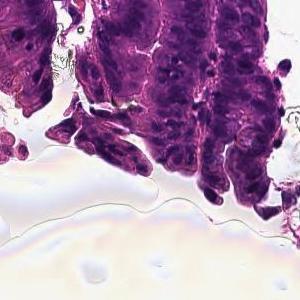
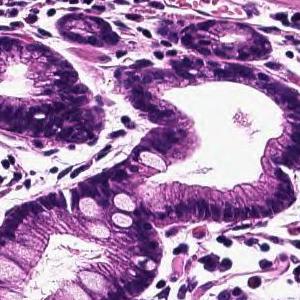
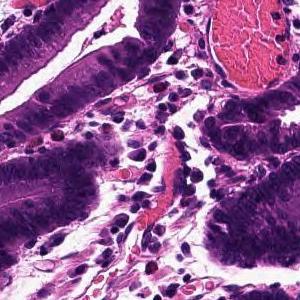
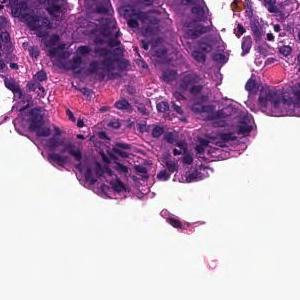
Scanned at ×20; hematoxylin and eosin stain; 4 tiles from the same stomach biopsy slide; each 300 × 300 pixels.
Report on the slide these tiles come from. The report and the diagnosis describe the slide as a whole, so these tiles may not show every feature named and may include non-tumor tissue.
Tumor tissue that infiltrates by forming large papillary or large irregular glandular ducts is observed confined to the mucosa. Papillary adenocarcinoma
